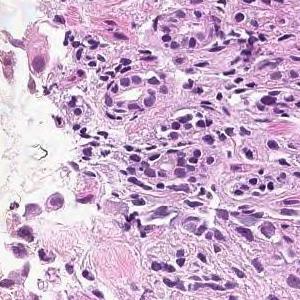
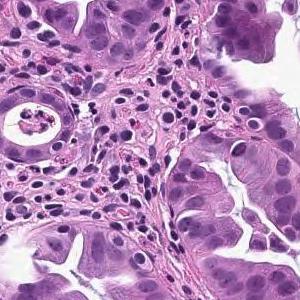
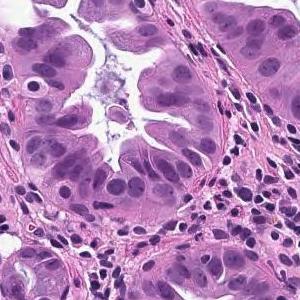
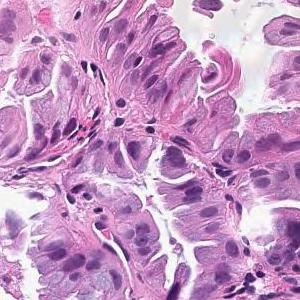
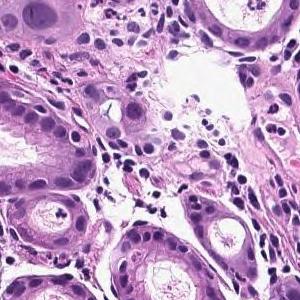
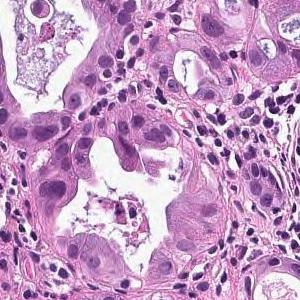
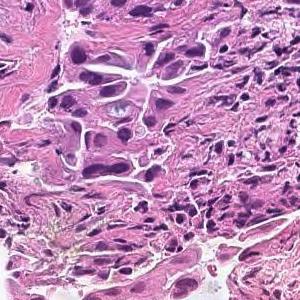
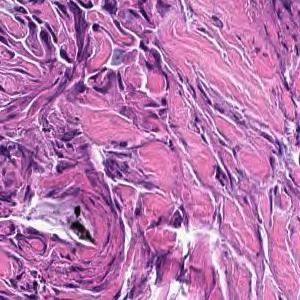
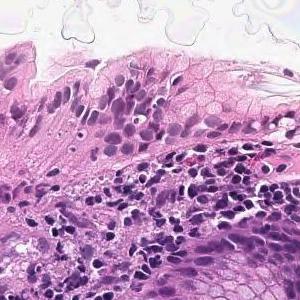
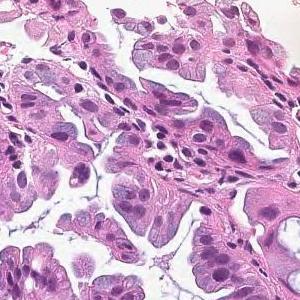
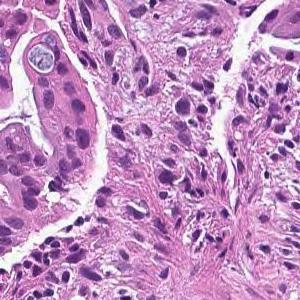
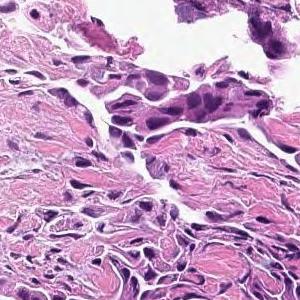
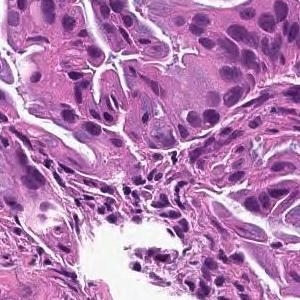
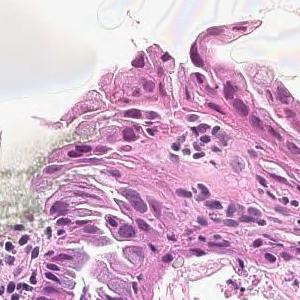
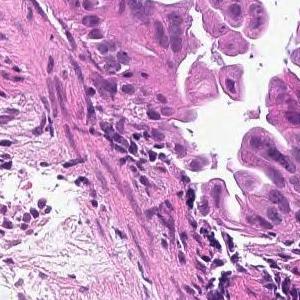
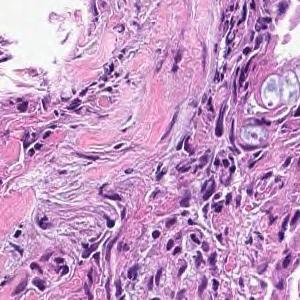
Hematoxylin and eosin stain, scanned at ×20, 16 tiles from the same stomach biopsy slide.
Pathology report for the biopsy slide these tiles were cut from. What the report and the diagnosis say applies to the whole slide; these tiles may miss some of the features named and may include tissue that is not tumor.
From the superficial epithelium to the muscularis mucosae, tumor tissue consisting of medium-sized and irregular glandular ducts infiltrating is observed. Well differentiated tubular adenocarcinoma
